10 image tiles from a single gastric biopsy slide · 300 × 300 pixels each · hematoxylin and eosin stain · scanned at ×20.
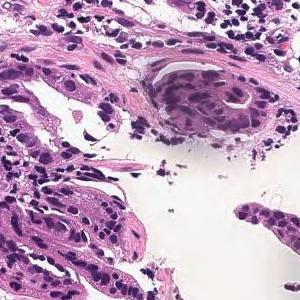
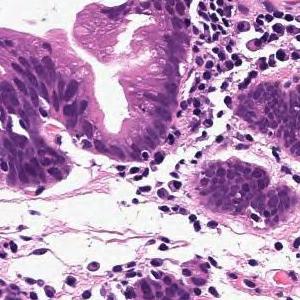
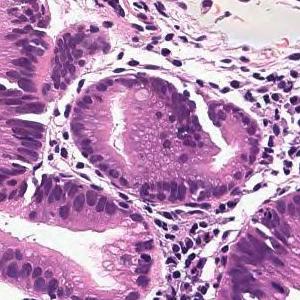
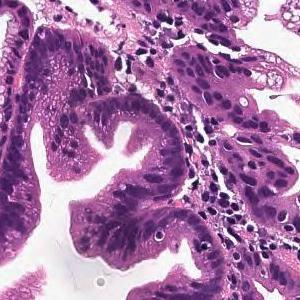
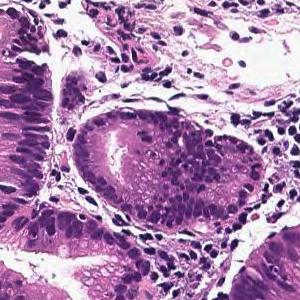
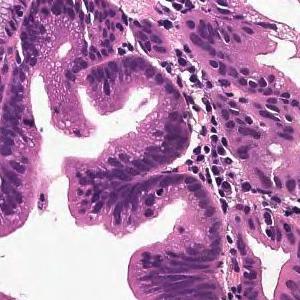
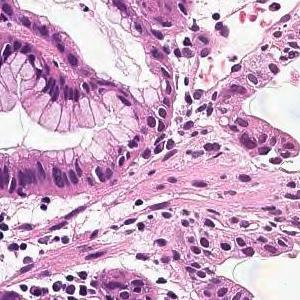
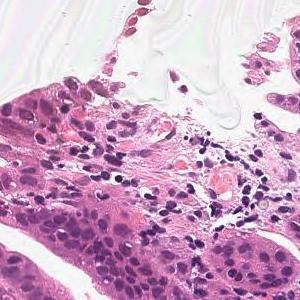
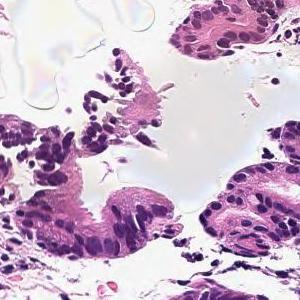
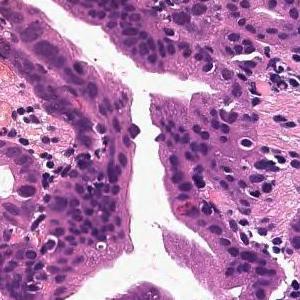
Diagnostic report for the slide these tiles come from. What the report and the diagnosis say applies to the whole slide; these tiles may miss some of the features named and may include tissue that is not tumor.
Cells with elliptical or atypical nuclei form dense ducts with relatively clear growth. Well differentiated tubular adenocarcinoma
